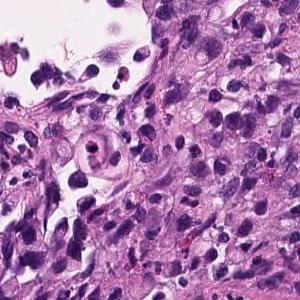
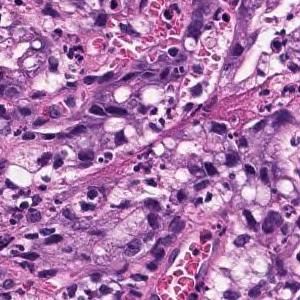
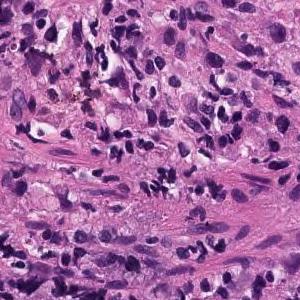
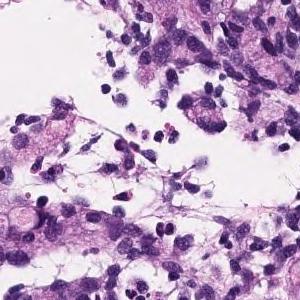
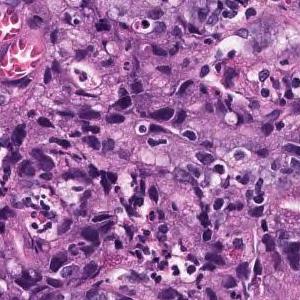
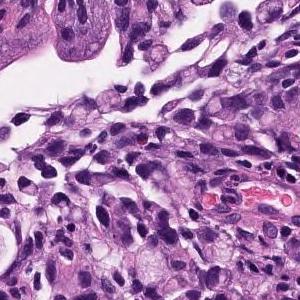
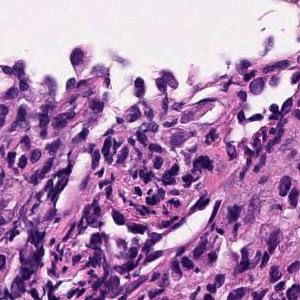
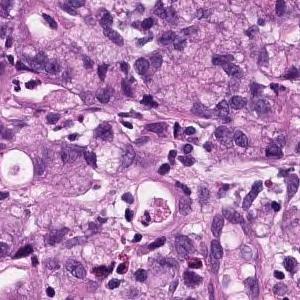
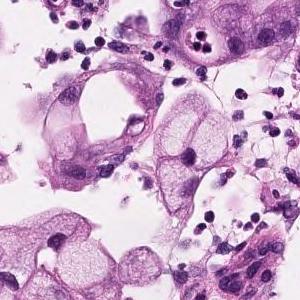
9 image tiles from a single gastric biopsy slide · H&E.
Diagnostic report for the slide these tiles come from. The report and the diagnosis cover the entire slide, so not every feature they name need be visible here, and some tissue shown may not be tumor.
Atypical epithelium forms irregularly fused gland ducts and proliferates. Poorly differentiated adenocarcinoma.
Histological subtype: Poorly differentiated adenocarcinoma, non-solid type.
The term "non-solid type" comes from the Japanese Classification of Gastric Carcinoma.
